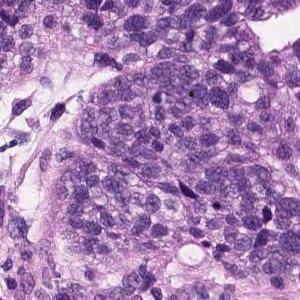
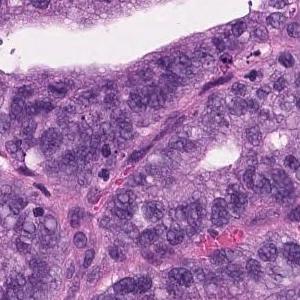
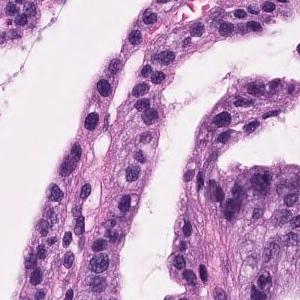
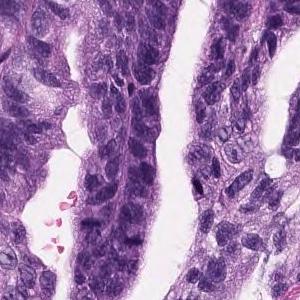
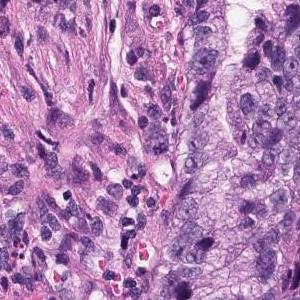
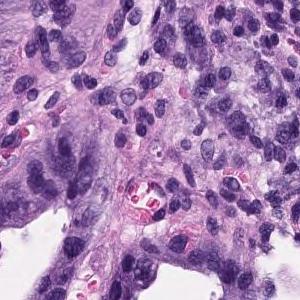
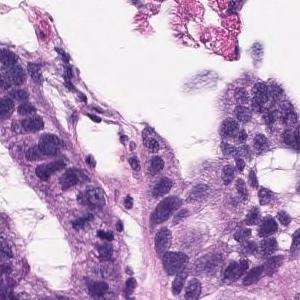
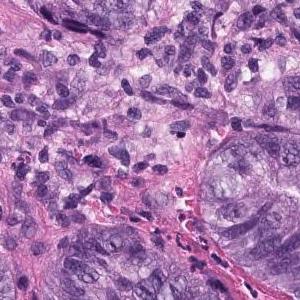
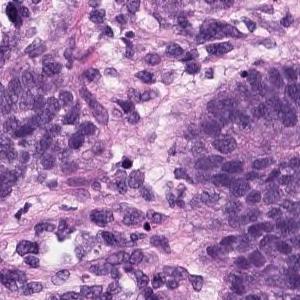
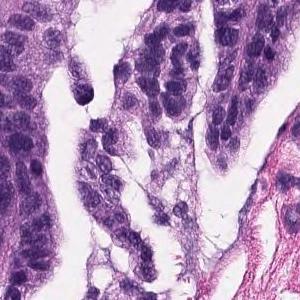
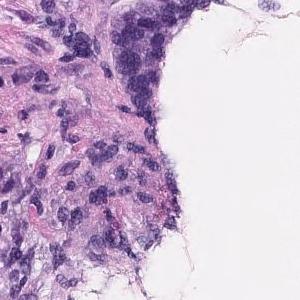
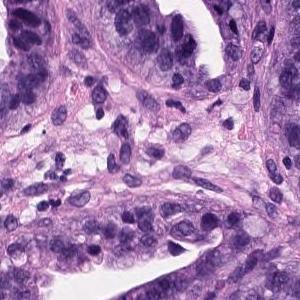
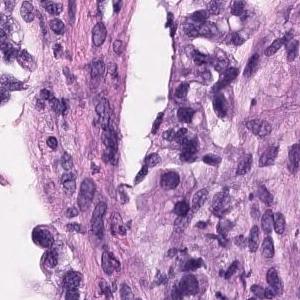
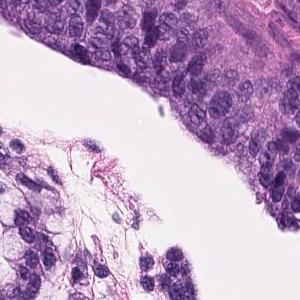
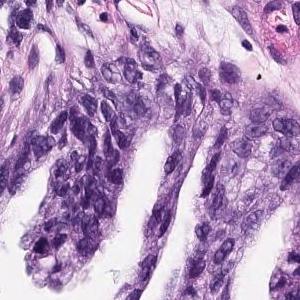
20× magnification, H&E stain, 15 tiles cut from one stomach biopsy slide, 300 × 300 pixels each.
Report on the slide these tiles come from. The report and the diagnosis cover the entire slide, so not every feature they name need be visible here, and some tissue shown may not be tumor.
Tumor cells are large, highly columnar, large club-shaped nuclei, and are associated with chromatin aggregation. Papillary adenocarcinoma.
